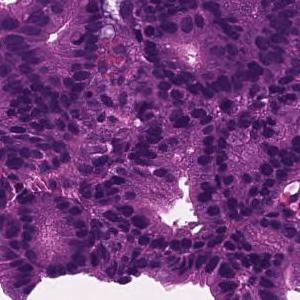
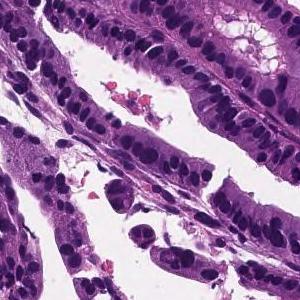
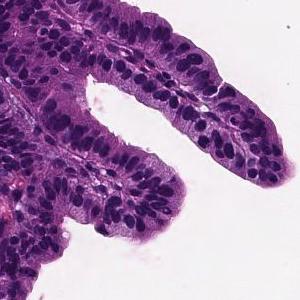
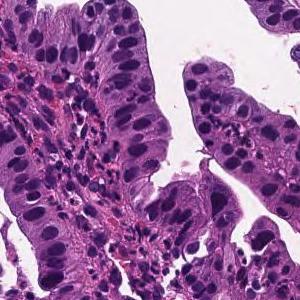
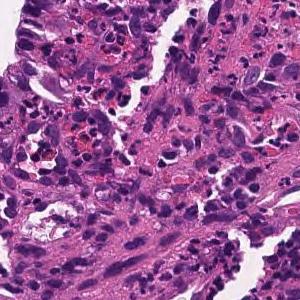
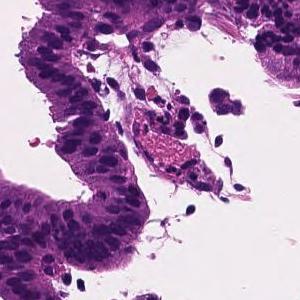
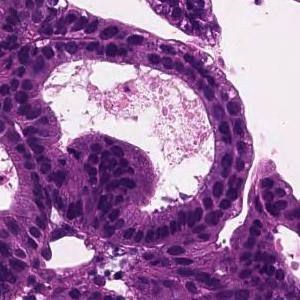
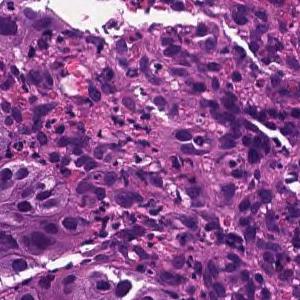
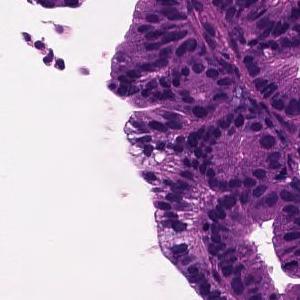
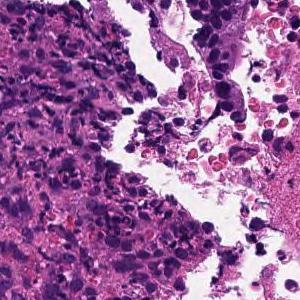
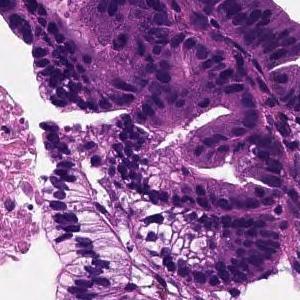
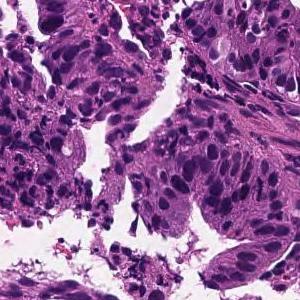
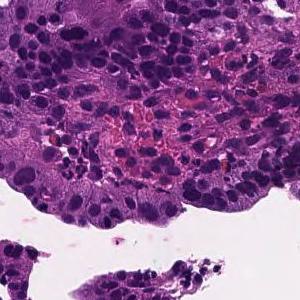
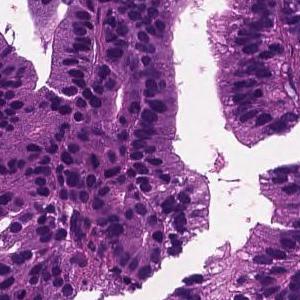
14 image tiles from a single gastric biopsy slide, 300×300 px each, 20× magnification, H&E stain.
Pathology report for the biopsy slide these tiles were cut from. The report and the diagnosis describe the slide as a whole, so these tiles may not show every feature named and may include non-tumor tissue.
Tumor cells are large, highly columnar, large club-shaped nuclei, and are associated with chromatin aggregation. Papillary adenocarcinoma.
